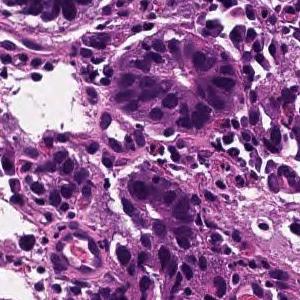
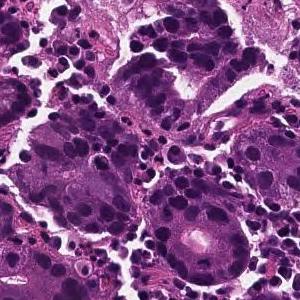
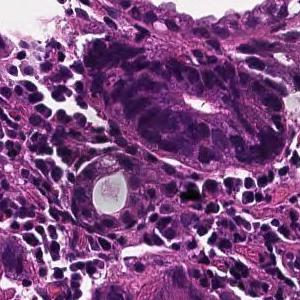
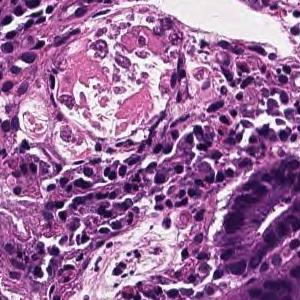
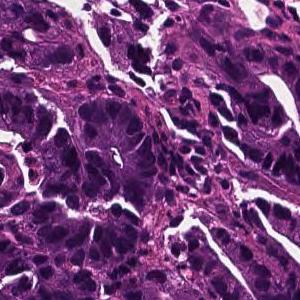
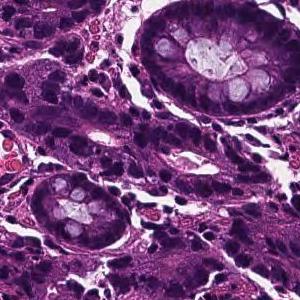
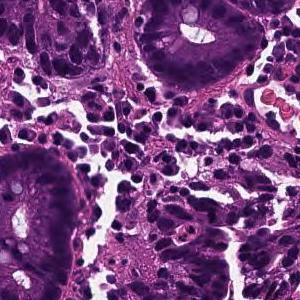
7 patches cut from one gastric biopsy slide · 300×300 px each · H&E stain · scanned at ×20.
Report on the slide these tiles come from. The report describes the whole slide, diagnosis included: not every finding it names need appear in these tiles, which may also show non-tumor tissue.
In the superficial epithelium, tumor tissue that invades by forming medium-sized to small, irregular ducts is observed. moderately differentiated tubular adenocarcinoma.
